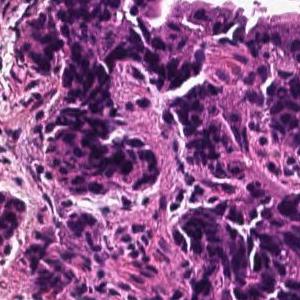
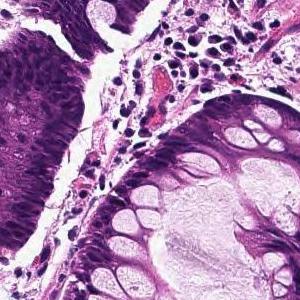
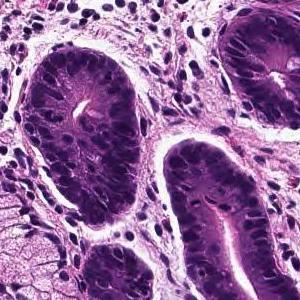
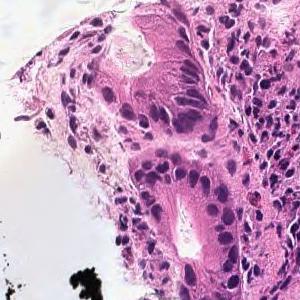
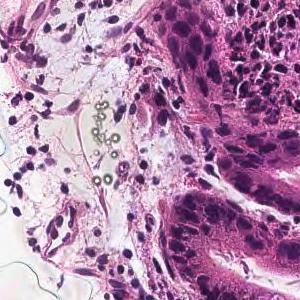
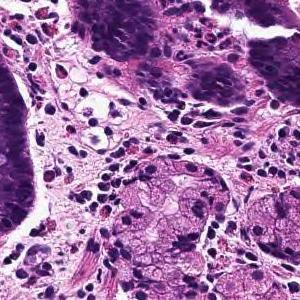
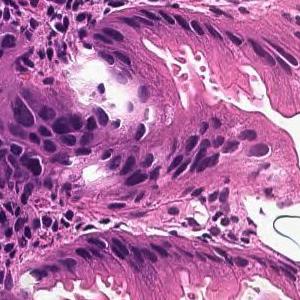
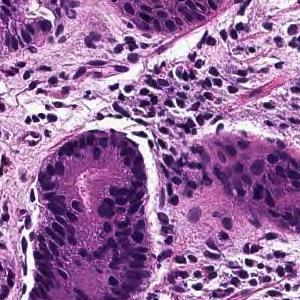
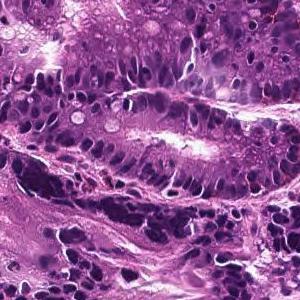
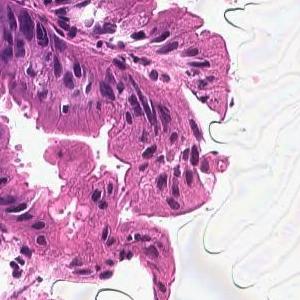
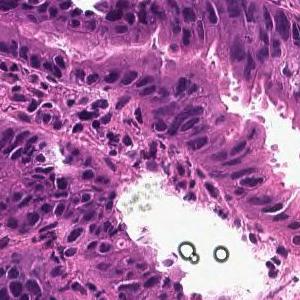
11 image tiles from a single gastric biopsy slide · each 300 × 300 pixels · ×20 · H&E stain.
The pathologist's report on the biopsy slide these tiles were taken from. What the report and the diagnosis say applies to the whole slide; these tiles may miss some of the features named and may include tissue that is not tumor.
From the superficial epithelium to the muscularis mucosae, tumor tissue consisting of medium-sized and irregular glandular ducts infiltrating is observed. Well differentiated tubular adenocarcinoma
